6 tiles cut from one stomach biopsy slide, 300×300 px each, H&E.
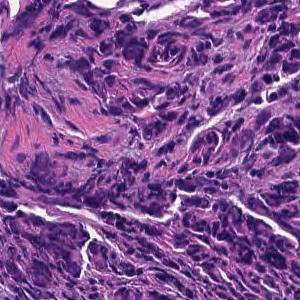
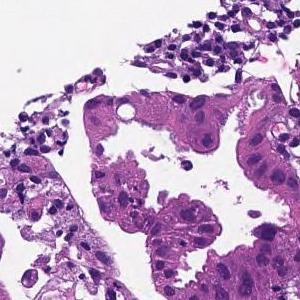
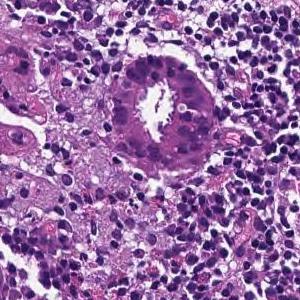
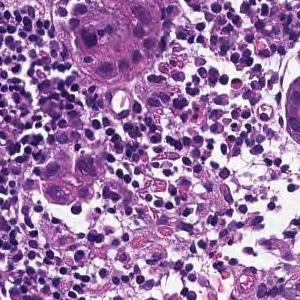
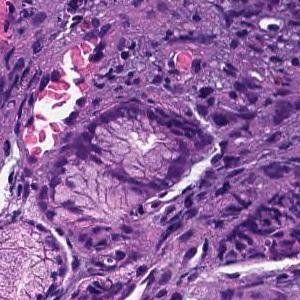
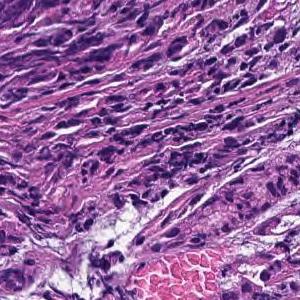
Diagnostic report for the slide these tiles come from. What the report and the diagnosis say applies to the whole slide; these tiles may miss some of the features named and may include tissue that is not tumor.
Tumor tissue consisting of medium-sized, cord-like or irregular glandular infiltration is observed in the superficial epithelium. Poorly differentiated adenocarcinoma, non-solid type or moderately differentiated tubular adenocarcinoma
Subtype: Moderately to poorly differentiated adenocarcinoma.
The term "non-solid type" comes from the Japanese Classification of Gastric Carcinoma.
